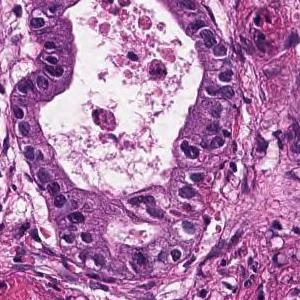
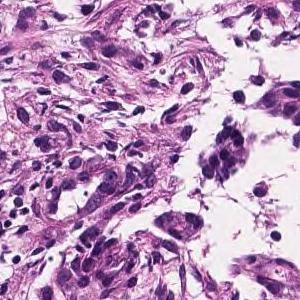
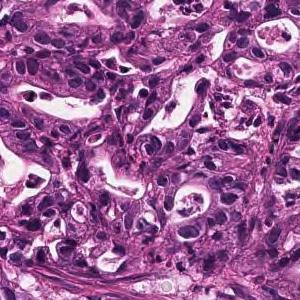
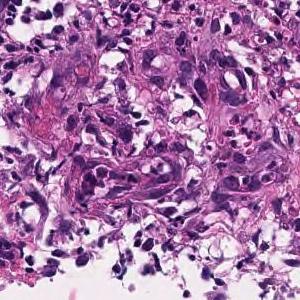
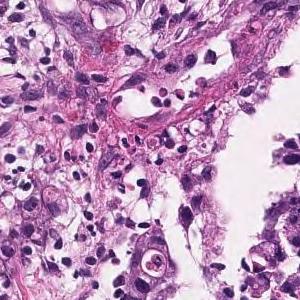
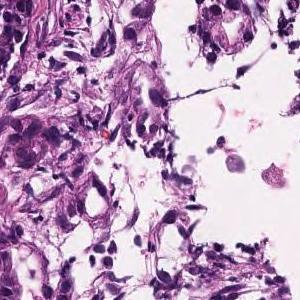
H&E stain · 6 tiles cut from one stomach biopsy slide · each 300 × 300 pixels.
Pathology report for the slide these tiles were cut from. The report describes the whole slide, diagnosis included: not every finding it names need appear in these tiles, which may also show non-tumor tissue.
In the superficial epithelium, medium to small, irregular gland ducts are formed, and in some cases, the gland ducts are fused to show solid alveolar lesions and infiltrating tumor tissue is observed. Moderately to poorly differentiated adenocarcinoma.
